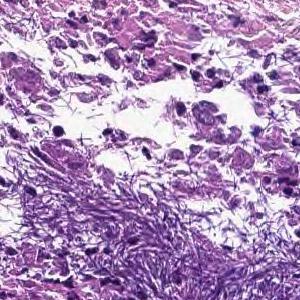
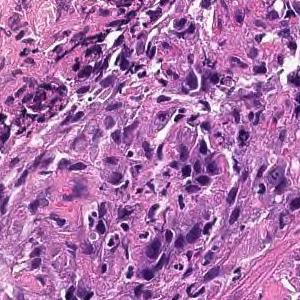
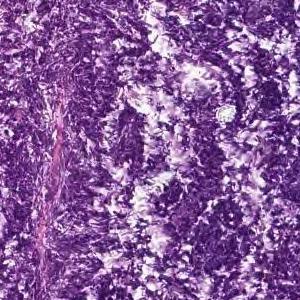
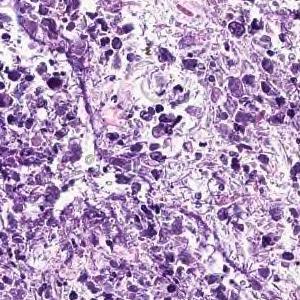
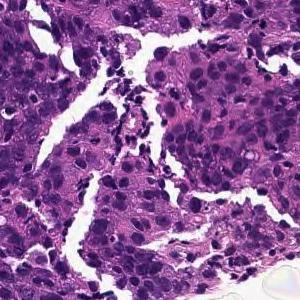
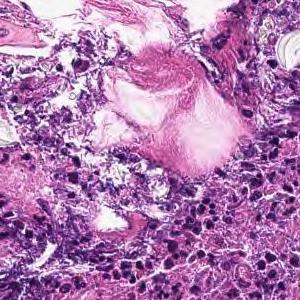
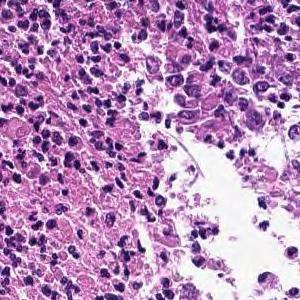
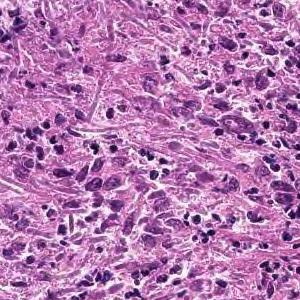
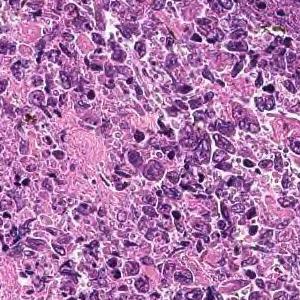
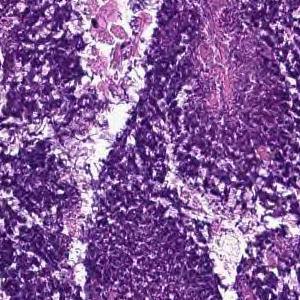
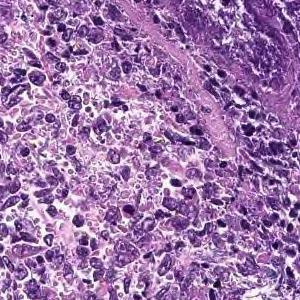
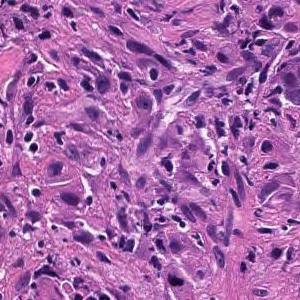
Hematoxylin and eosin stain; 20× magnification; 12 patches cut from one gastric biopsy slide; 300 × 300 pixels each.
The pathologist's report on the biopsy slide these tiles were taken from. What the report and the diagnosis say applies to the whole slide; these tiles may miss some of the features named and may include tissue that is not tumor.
Cancers with polygonal nuclei do not show glandular formation and are densely, in part, cord-like and proliferate. Poorly differentiated adenocarcinoma
Subtype: Poorly differentiated adenocarcinoma, non-solid type.
"Non-solid type" is a category of the Japanese Classification of Gastric Carcinoma.
